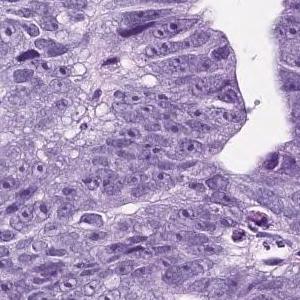
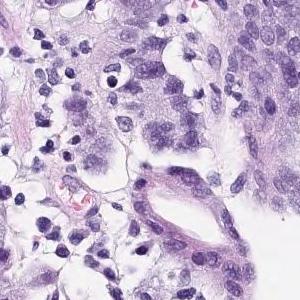
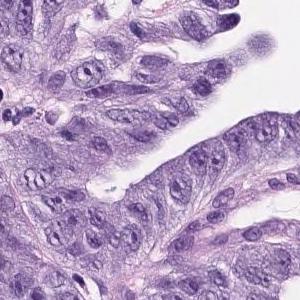
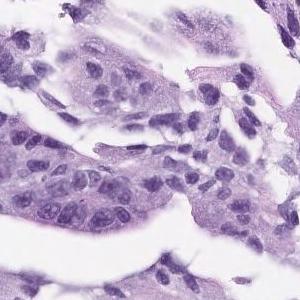
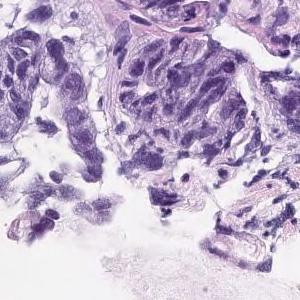
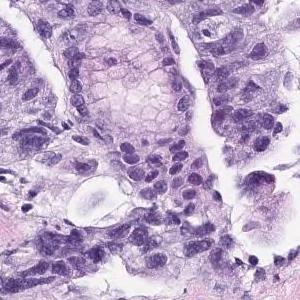
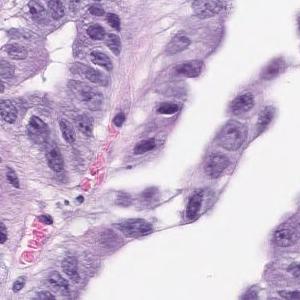
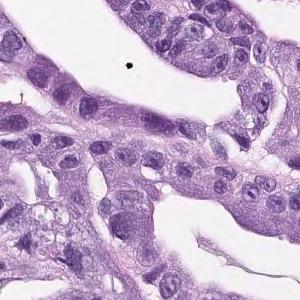
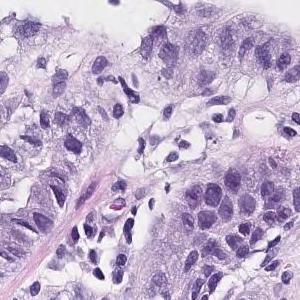
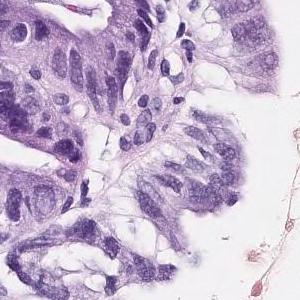
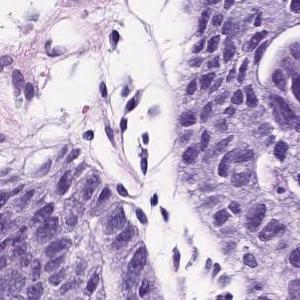
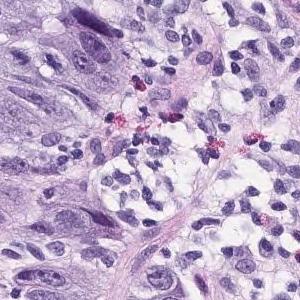
20× magnification; 12 patches cut from one gastric biopsy slide; 300 × 300 pixels each.
Pathology report for the slide these tiles were cut from. The report and the diagnosis cover the entire slide, so not every feature they name need be visible here, and some tissue shown may not be tumor.
In the superficial epithelium, tumor tissue that invades by forming medium-sized to small, irregular ducts is observed. Moderately differentiated adenocarcinoma.
Tumor subtype: moderately differentiated tubular adenocarcinoma.
